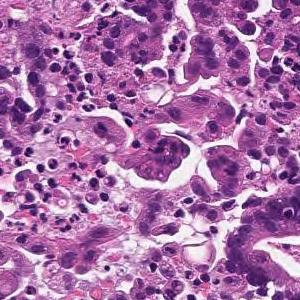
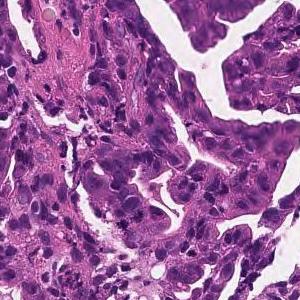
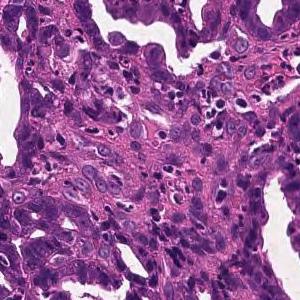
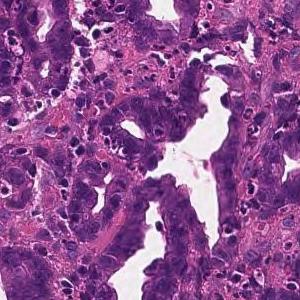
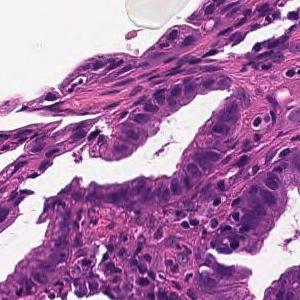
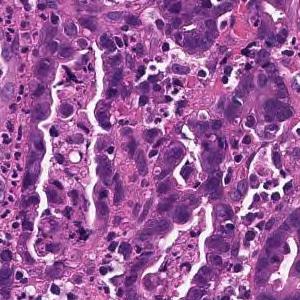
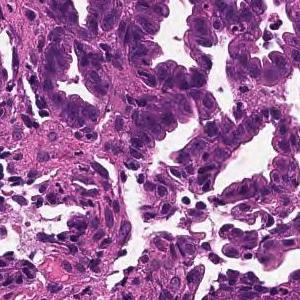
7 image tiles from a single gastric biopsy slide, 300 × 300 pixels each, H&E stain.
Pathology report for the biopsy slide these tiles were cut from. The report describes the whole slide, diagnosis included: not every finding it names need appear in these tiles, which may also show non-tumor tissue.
From the superficial epithelium to the muscularis mucosae, tumor tissue consisting of medium-sized and irregular glandular ducts infiltrating is observed. Well differentiated tubular adenocarcinoma
